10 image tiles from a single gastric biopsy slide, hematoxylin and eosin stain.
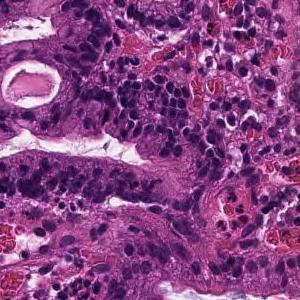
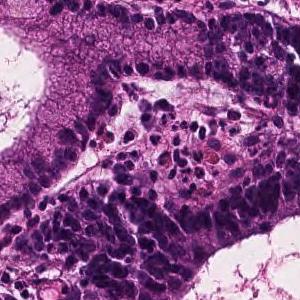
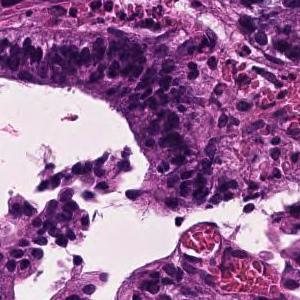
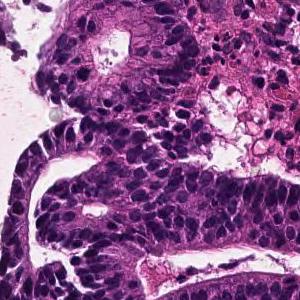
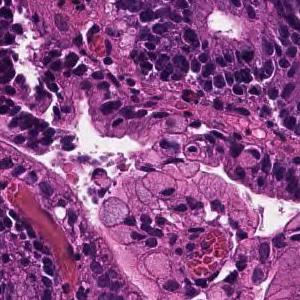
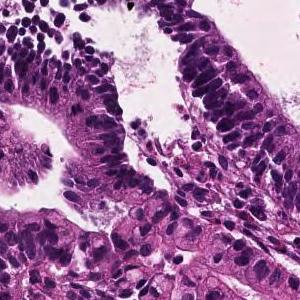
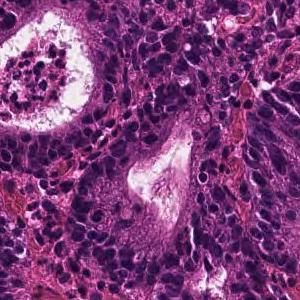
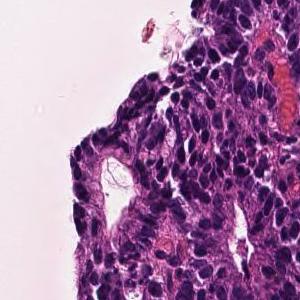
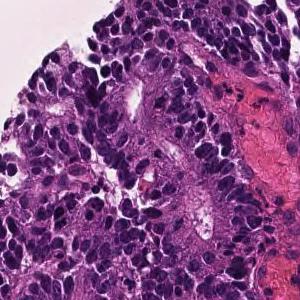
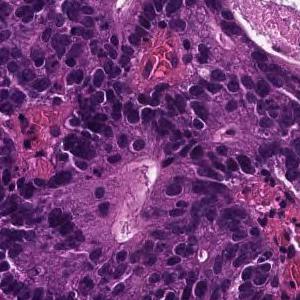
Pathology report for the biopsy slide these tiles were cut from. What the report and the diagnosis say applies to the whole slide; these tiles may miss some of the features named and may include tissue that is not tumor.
In the superficial epithelium, tumor tissue that invades by forming medium-sized to small, irregular ducts is observed. moderately differentiated tubular adenocarcinoma.
